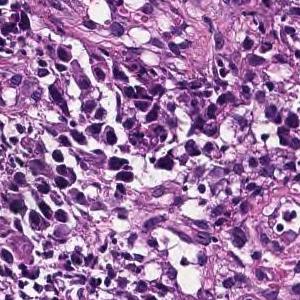
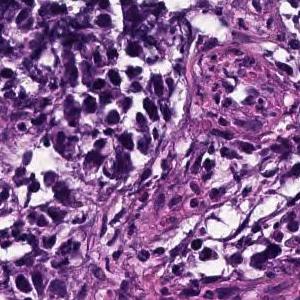
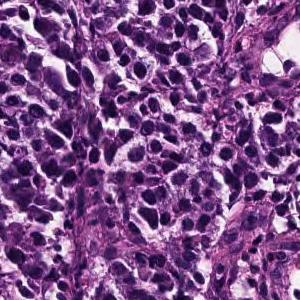
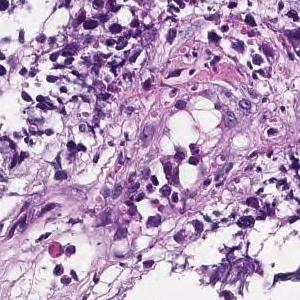
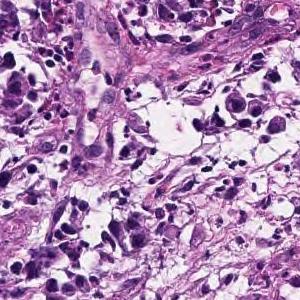
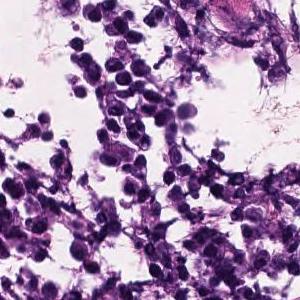
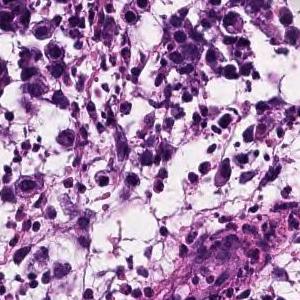
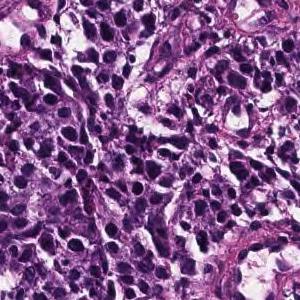
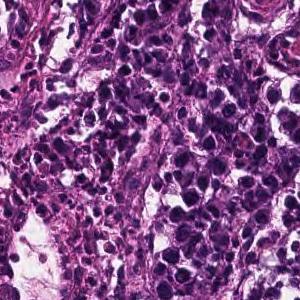
9 tiles cut from one stomach biopsy slide · 20× magnification.
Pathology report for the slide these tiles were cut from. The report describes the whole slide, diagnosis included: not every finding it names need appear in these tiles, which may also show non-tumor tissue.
The superficial epithelium shows a small alveolar shape, and some tumor tissues infiltrate with a cord-like structure. Poorly differentiated adenocarcinoma, solid-type
Histologic type: Poorly differentiated adenocarcinoma, solid type (Japanese Classification of Gastric Carcinoma). The WHO 2019 equivalent is tubular adenocarcinoma, poorly differentiated.
